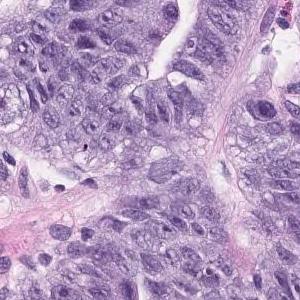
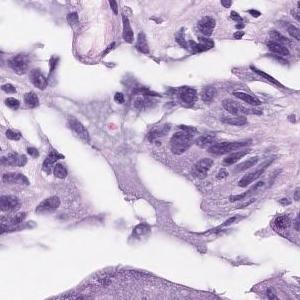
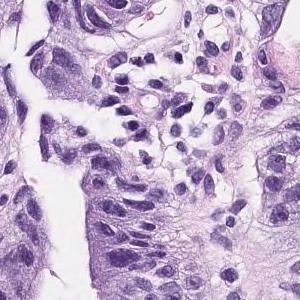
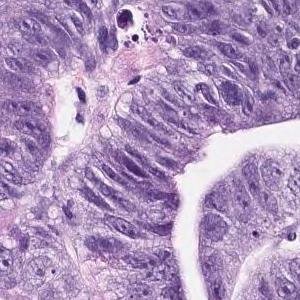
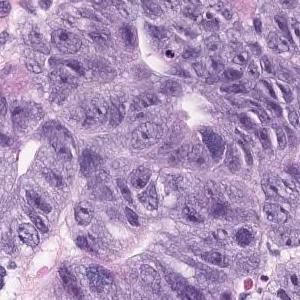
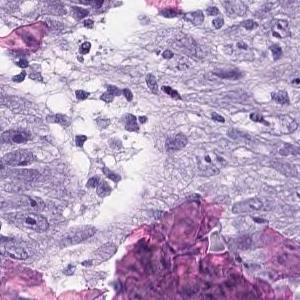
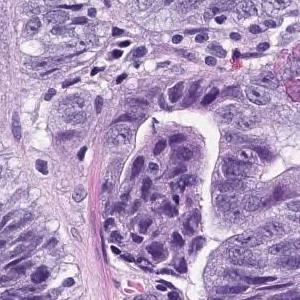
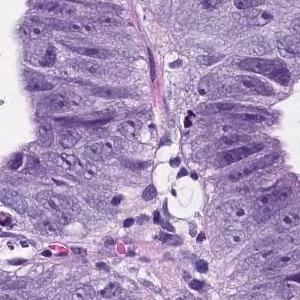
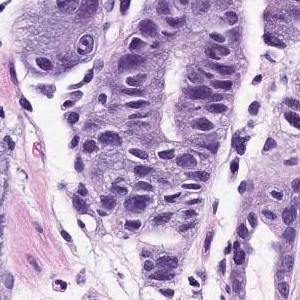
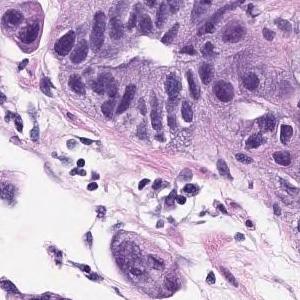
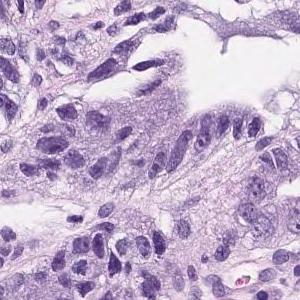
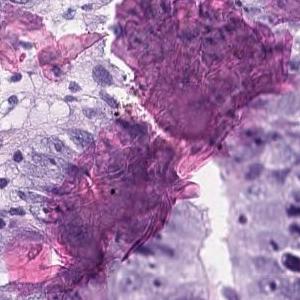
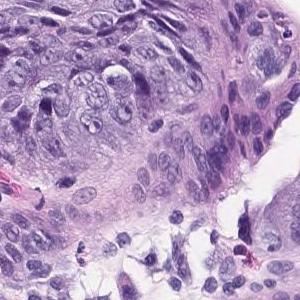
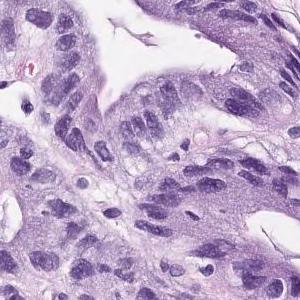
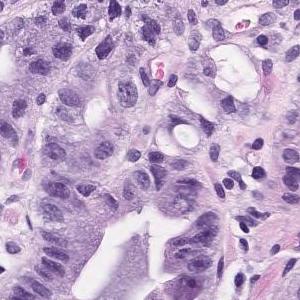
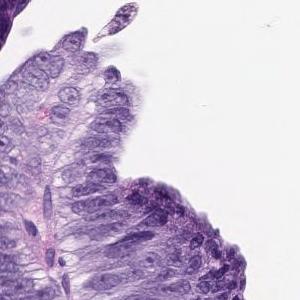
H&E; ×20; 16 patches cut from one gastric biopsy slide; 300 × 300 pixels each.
Report on the slide these tiles come from. The report and the diagnosis describe the slide as a whole, so these tiles may not show every feature named and may include non-tumor tissue.
In the superficial epithelium, tumor tissue that invades by forming medium-sized to small, irregular ducts is observed. Moderately differentiated adenocarcinoma.
Histological subtype: Moderately differentiated tubular adenocarcinoma.
